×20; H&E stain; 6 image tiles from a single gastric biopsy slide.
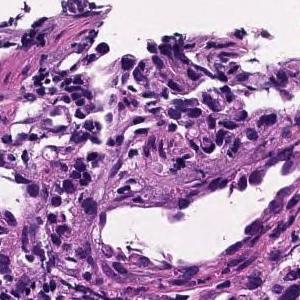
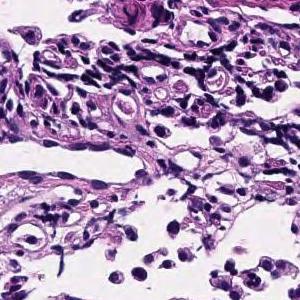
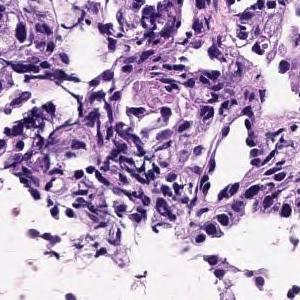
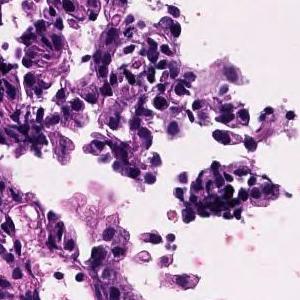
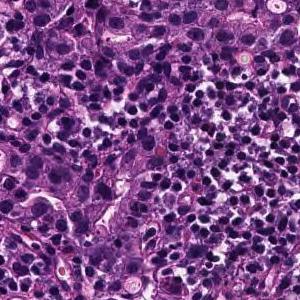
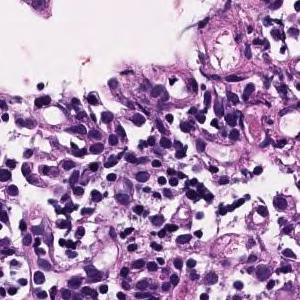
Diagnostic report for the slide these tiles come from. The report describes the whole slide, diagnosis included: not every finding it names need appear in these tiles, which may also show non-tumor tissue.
Medium to small, irregular glandular ducts are formed in the superficial epithelium, and in some cases, the glandular ducts are fused to show solid alveolar lesions and infiltrating tumor tissue is observed. Moderately to poorly differentiated adenocarcinoma.
